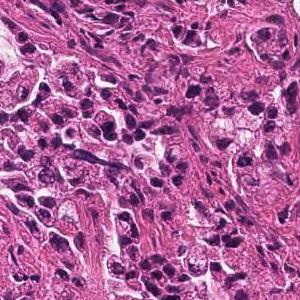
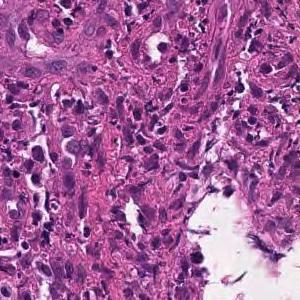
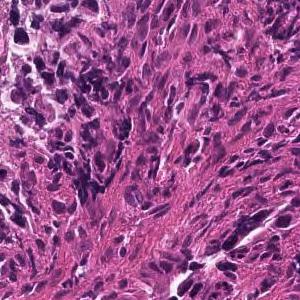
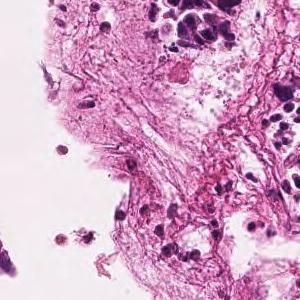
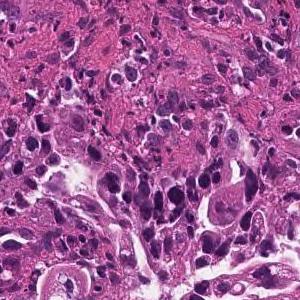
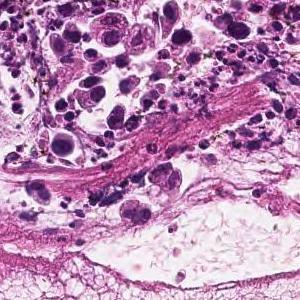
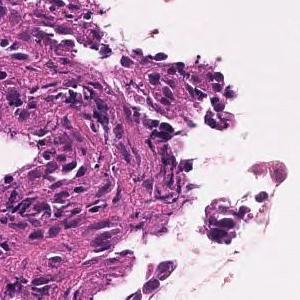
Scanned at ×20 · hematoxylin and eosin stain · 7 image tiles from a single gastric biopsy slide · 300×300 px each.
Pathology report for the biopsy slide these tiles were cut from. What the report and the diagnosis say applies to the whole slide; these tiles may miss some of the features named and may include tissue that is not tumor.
In the superficial epithelium, tumor tissue that invades by forming medium-sized to small, irregular ducts is observed. moderately differentiated tubular adenocarcinoma.
